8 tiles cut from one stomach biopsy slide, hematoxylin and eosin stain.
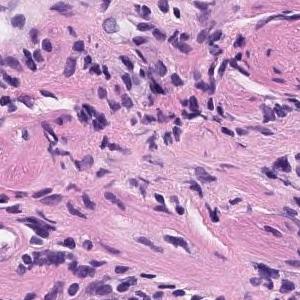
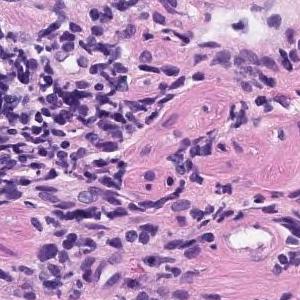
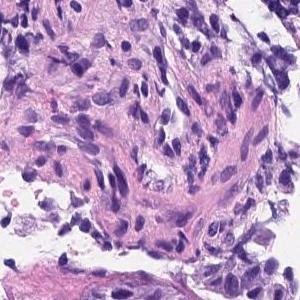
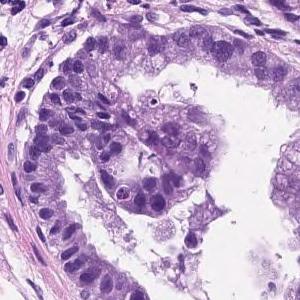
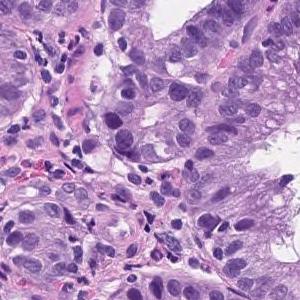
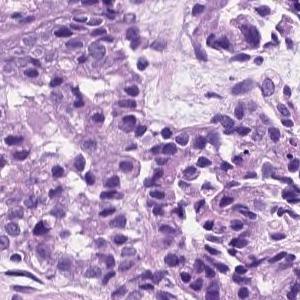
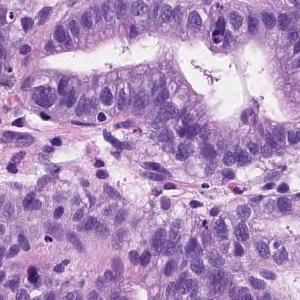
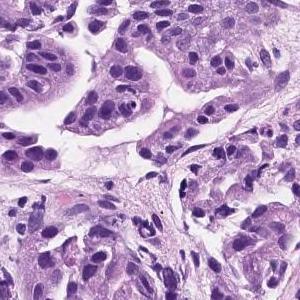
Pathology report for the slide these tiles were cut from. What the report and the diagnosis say applies to the whole slide; these tiles may miss some of the features named and may include tissue that is not tumor.
Tumor tissue consisting of medium-sized and irregular ducts is observed infiltrating in the superficial epithelium. Tumor cells are highly columnar, with nuclei aligned basolaterally and polarized. Well differentiated tubular adenocarcinoma.
